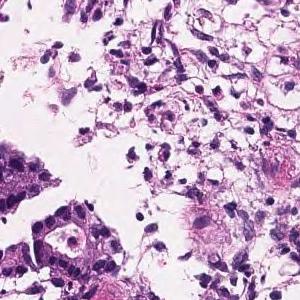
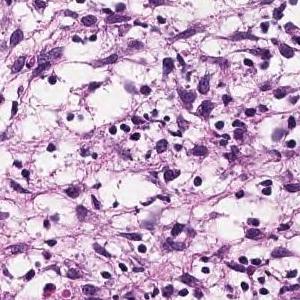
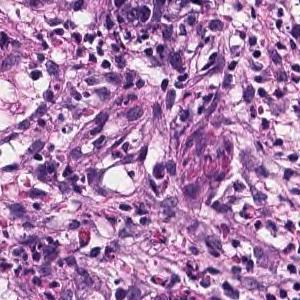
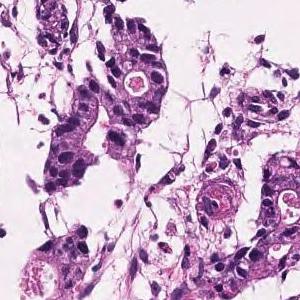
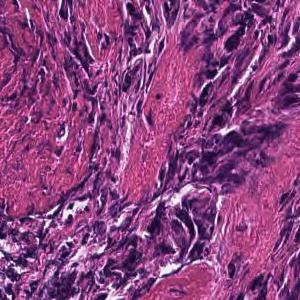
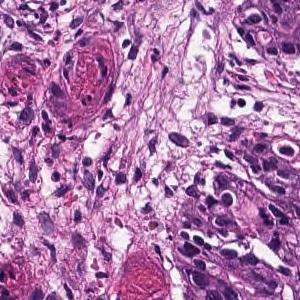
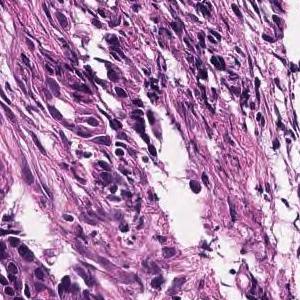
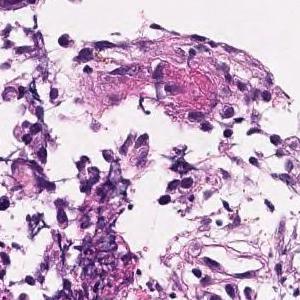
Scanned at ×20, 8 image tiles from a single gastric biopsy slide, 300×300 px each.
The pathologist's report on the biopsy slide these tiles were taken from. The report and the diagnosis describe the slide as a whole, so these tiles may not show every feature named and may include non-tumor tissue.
In the superficial epithelium, medium to small, irregular gland ducts are formed, and in some cases, the gland ducts are fused to show solid alveolar lesions and infiltrating tumor tissue is observed. Moderately to poorly differentiated adenocarcinoma.
